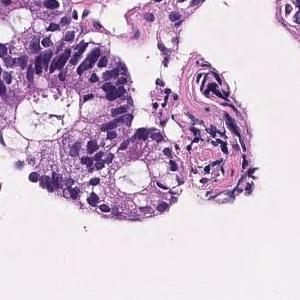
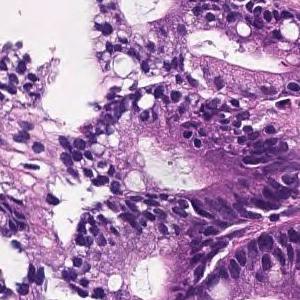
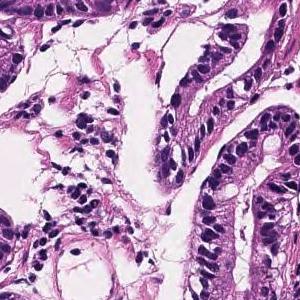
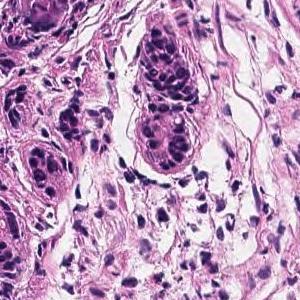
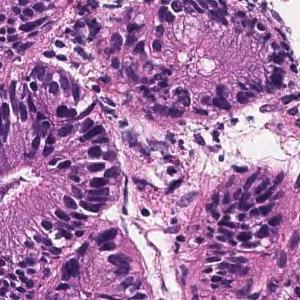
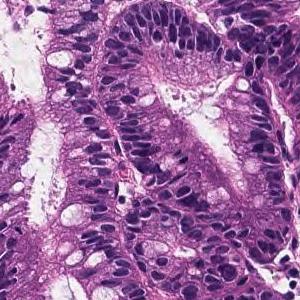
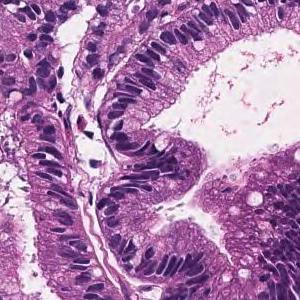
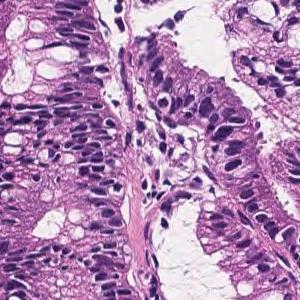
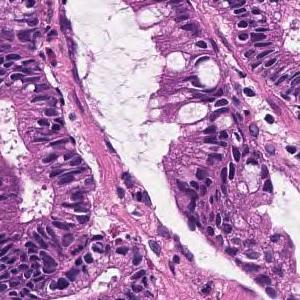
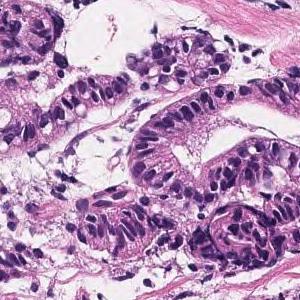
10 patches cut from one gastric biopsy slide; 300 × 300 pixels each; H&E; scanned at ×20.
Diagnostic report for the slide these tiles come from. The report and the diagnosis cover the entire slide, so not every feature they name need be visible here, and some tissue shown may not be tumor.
Most remain in the superficial epithelium, forming medium-sized papillary or small irregular ducts and proliferating, and some tumor tissue invades the muscularis mucosae. Papillary adenocarcinoma
